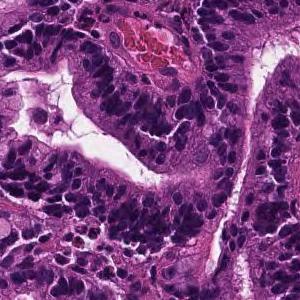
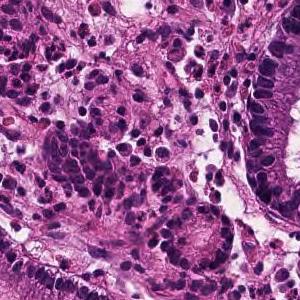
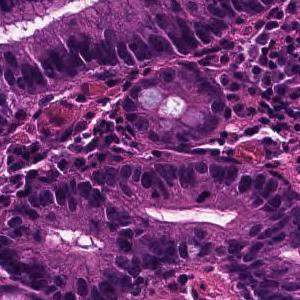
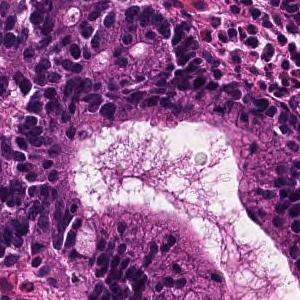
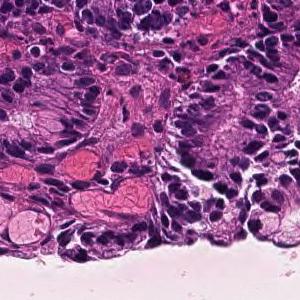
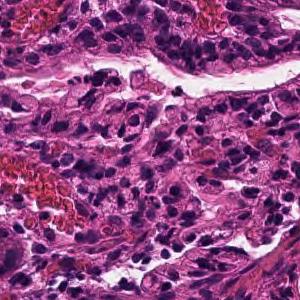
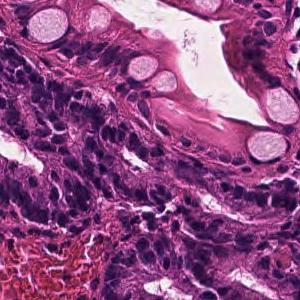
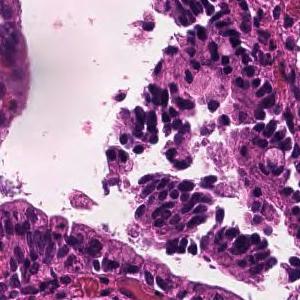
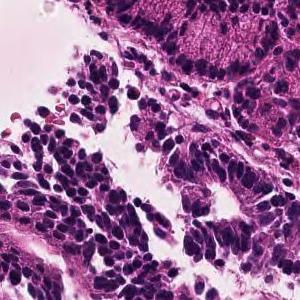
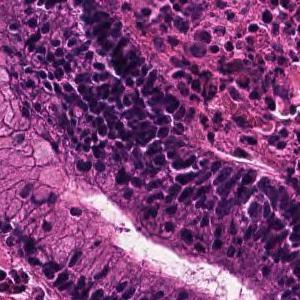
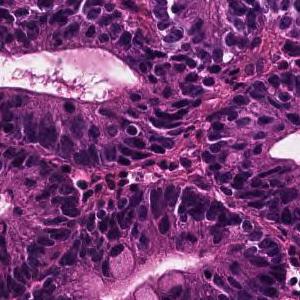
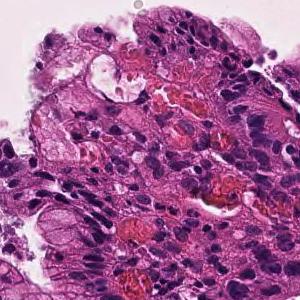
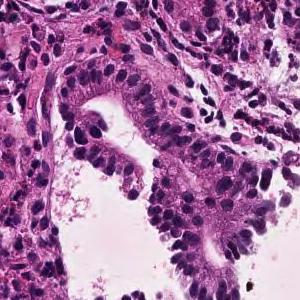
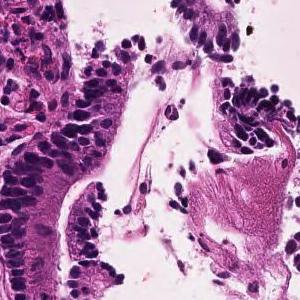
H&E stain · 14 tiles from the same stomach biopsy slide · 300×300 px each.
Pathology report for the slide these tiles were cut from. What the report and the diagnosis say applies to the whole slide; these tiles may miss some of the features named and may include tissue that is not tumor.
In the superficial epithelium, tumor tissue that invades by forming medium-sized to small, irregular ducts is observed. moderately differentiated tubular adenocarcinoma.
